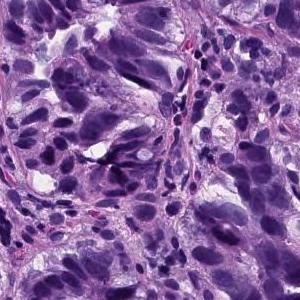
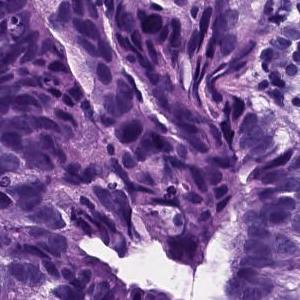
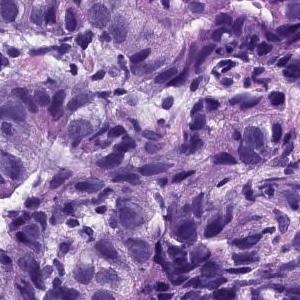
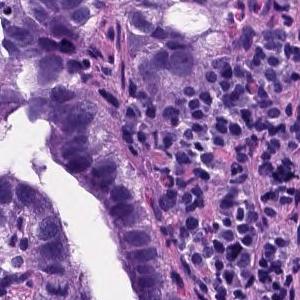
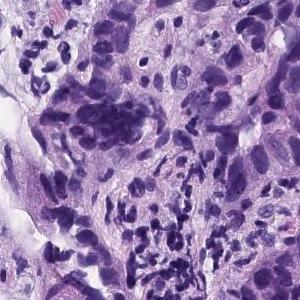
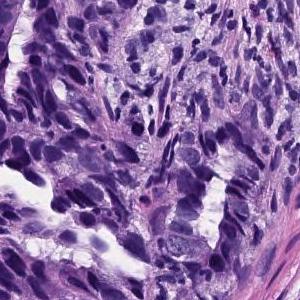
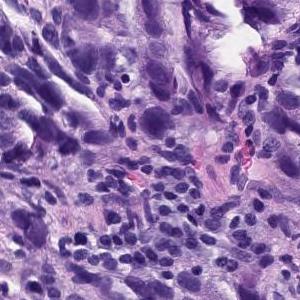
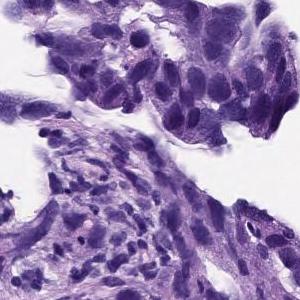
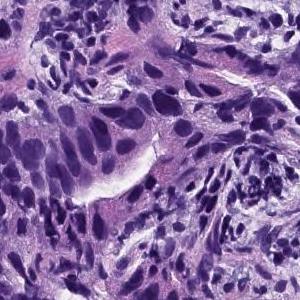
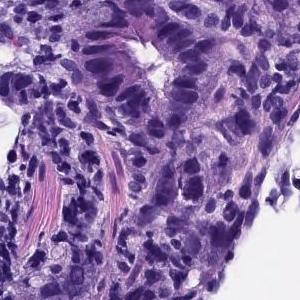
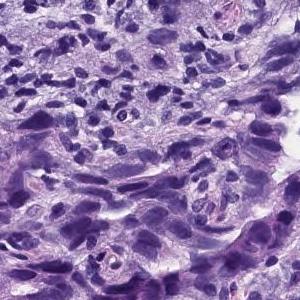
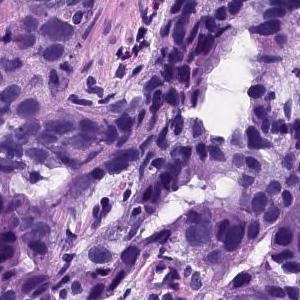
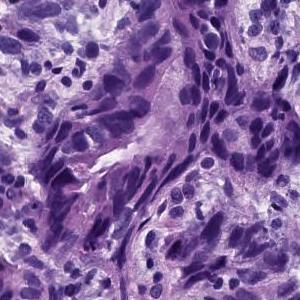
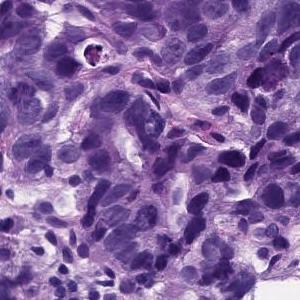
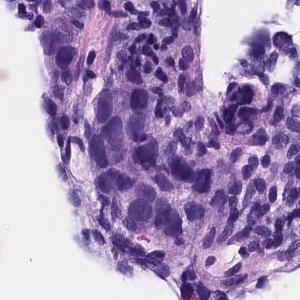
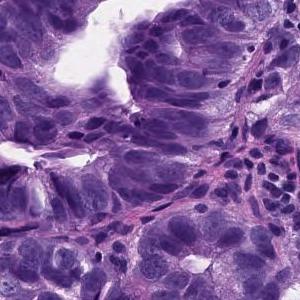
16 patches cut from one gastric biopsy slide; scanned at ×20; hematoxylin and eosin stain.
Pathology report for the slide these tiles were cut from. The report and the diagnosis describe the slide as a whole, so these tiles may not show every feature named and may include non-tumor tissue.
In the superficial epithelium, tumor tissue that invades by forming medium-sized to small, irregular ducts is observed. Moderately differentiated adenocarcinoma.
Subtype: Moderately differentiated tubular adenocarcinoma.
